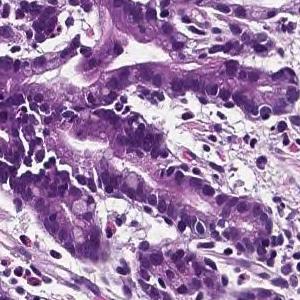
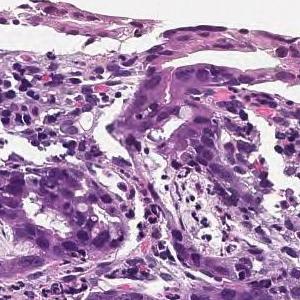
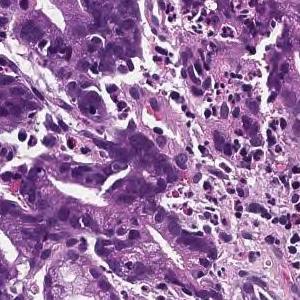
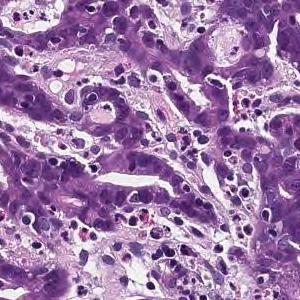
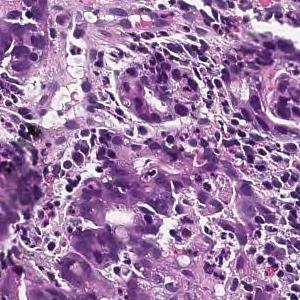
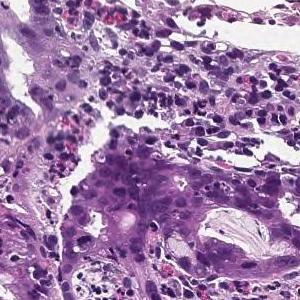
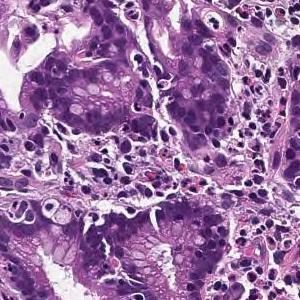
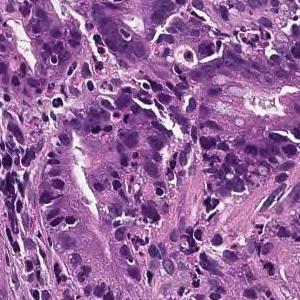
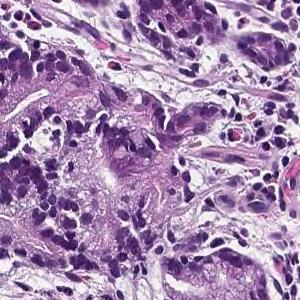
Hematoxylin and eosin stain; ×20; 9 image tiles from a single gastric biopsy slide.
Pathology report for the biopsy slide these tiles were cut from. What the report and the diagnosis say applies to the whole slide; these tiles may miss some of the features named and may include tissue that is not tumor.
In the superficial epithelium, tumor tissue that invades by forming medium-sized to small, irregular ducts is observed. moderately differentiated tubular adenocarcinoma.
